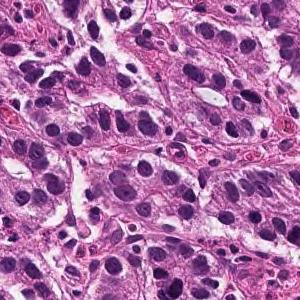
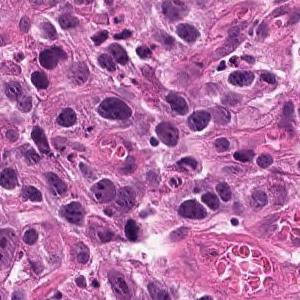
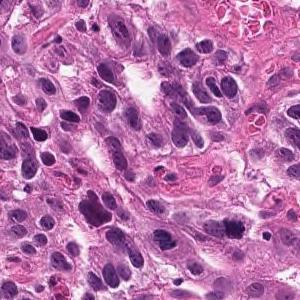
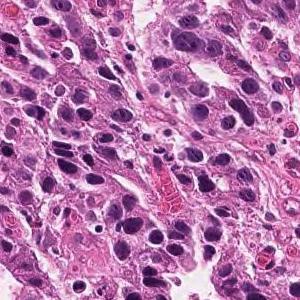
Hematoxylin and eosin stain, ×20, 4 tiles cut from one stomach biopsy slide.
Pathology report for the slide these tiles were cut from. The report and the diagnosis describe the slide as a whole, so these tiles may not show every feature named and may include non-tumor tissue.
Tumor tissue consisting of medium-sized, cord-like or irregular glandular infiltration is observed in the superficial epithelium. Poorly differentiated adenocarcinoma, non-solid type or moderately differentiated tubular adenocarcinoma
Histologic type: Moderately to poorly differentiated adenocarcinoma.
The non-solid type named here is a Japanese Classification of Gastric Carcinoma category.
